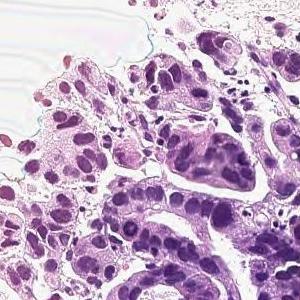
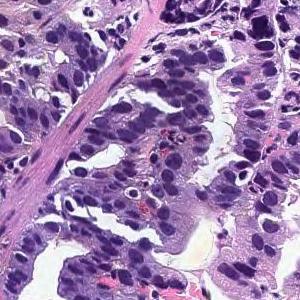
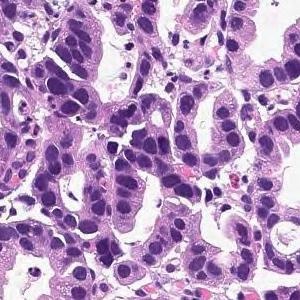
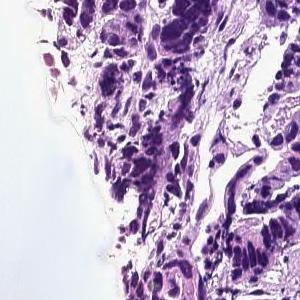
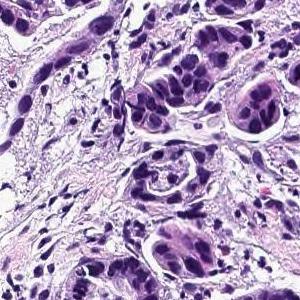
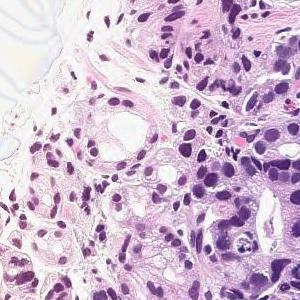
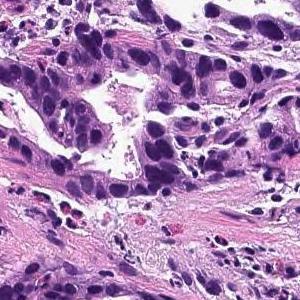
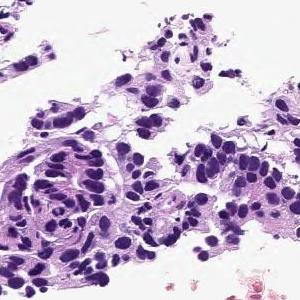
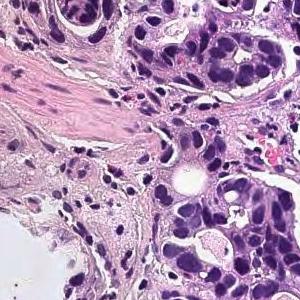
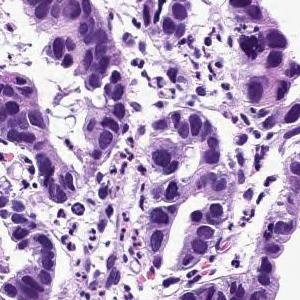
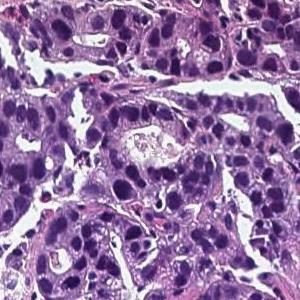
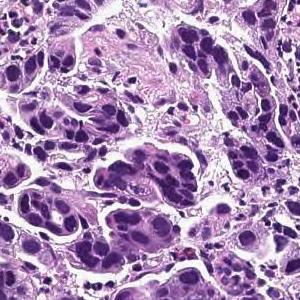
12 tiles cut from one stomach biopsy slide.
Pathology report for the slide these tiles were cut from. The findings and the diagnosis refer to the entire slide; these tiles show only part of it, possibly with non-tumor tissue, and may not show every feature named.
On the superficial epithelium, tumor tissue consisting of large irregular glandular ducts partially fused and infiltrated is observed. Well to moderately differentiated tubular adenocarcinoma (well differentiated tubular adenocarcinoma, moderately differentiated tubular adenocarcinoma)
Histological subtype: Well to moderately differentiated tubular adenocarcinoma.
